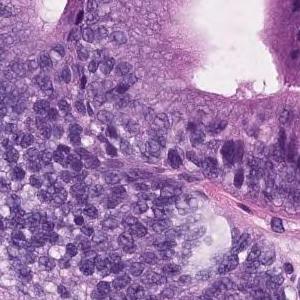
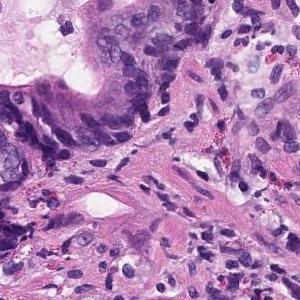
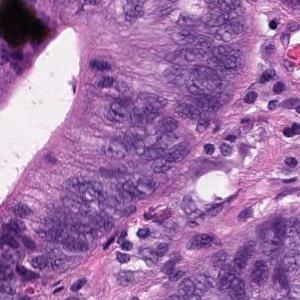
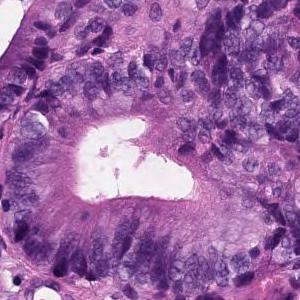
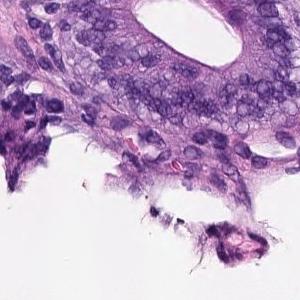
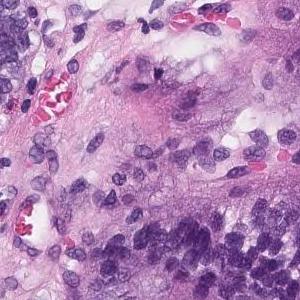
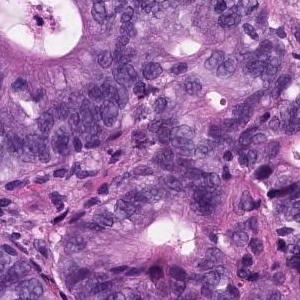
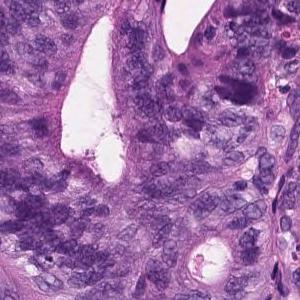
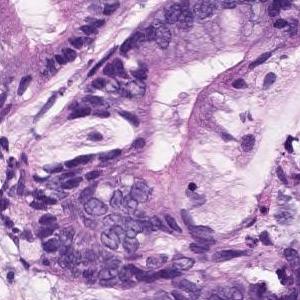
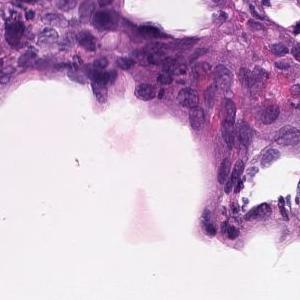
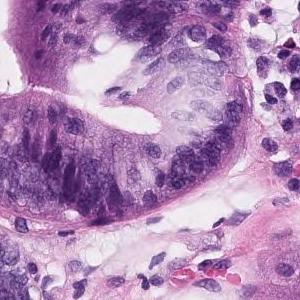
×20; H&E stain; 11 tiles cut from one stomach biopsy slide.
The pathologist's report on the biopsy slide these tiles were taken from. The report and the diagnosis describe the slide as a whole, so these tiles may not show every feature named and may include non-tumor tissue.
Group 5, Well differentiated tubular adenocarcinoma.
